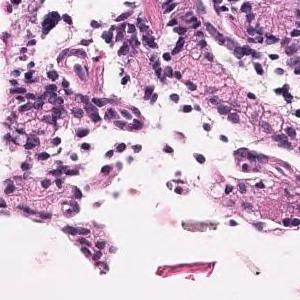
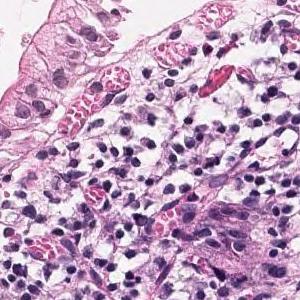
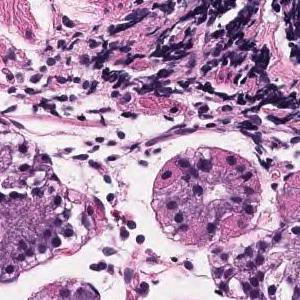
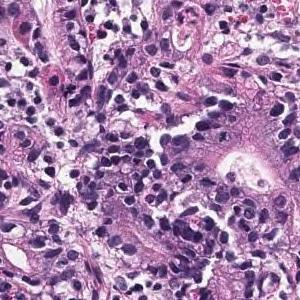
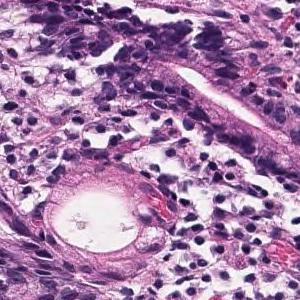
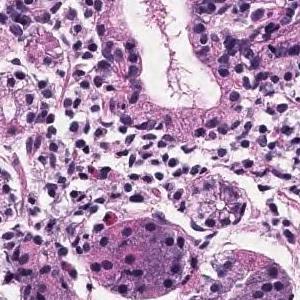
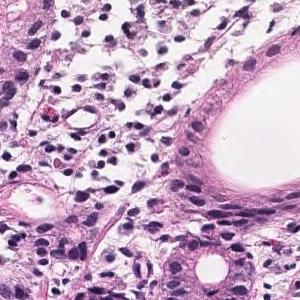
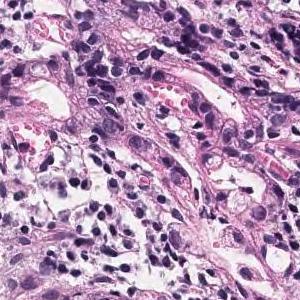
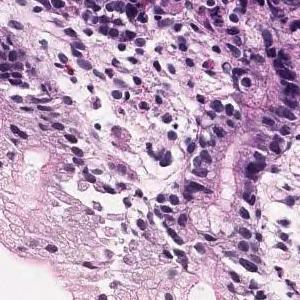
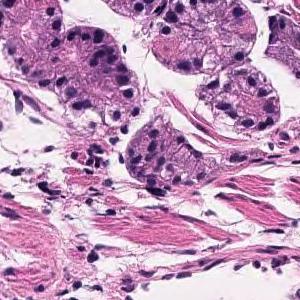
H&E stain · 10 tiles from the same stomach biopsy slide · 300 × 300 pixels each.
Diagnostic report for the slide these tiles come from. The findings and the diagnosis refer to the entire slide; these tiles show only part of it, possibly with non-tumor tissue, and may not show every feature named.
Tumor tissue that grows and grows is observed, showing a medium-sized round or irregular duct. moderately differentiated tubular adenocarcinoma
